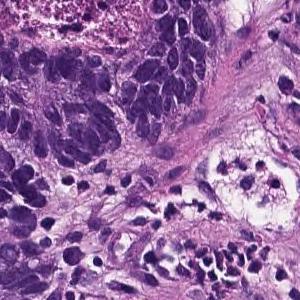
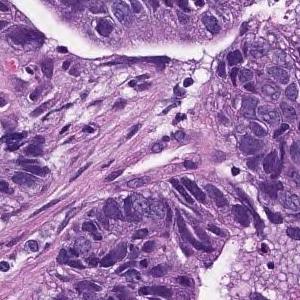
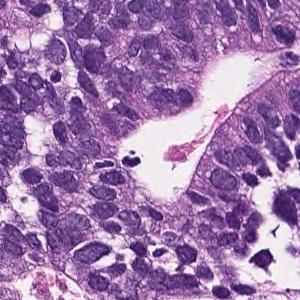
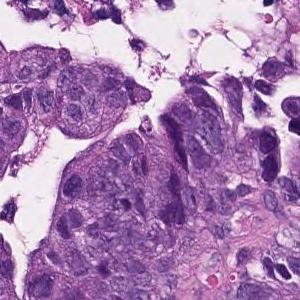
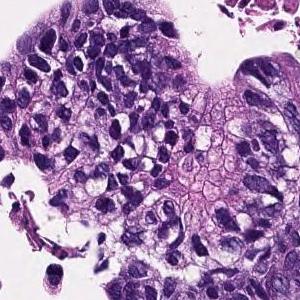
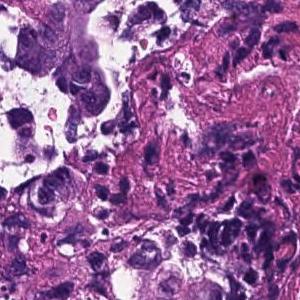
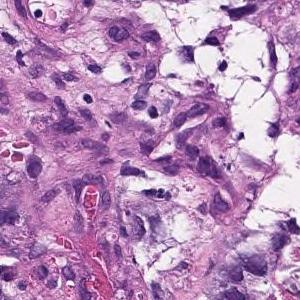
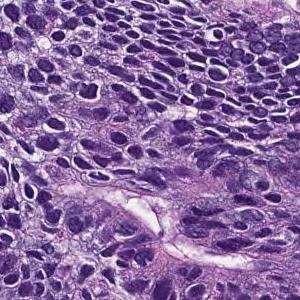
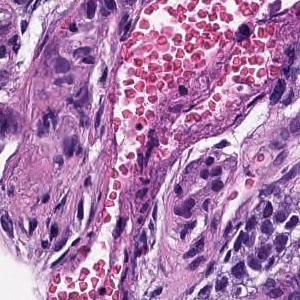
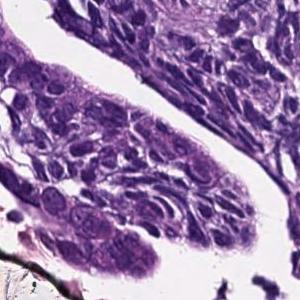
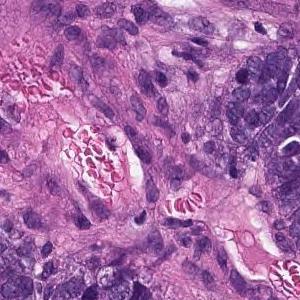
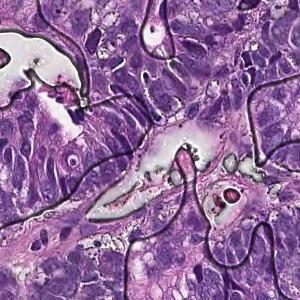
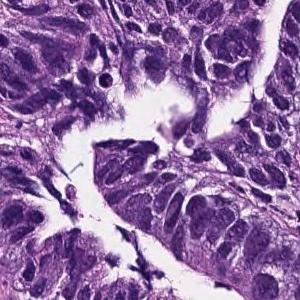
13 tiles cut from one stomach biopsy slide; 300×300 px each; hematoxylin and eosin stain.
The pathologist's report on the biopsy slide these tiles were taken from. What the report and the diagnosis say applies to the whole slide; these tiles may miss some of the features named and may include tissue that is not tumor.
In the superficial epithelium, tumor tissue that invades by forming medium-sized to small, irregular ducts is observed. moderately differentiated tubular adenocarcinoma.
